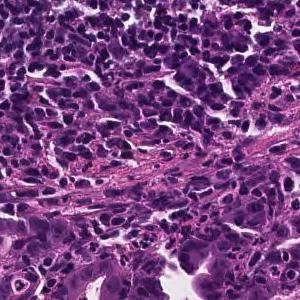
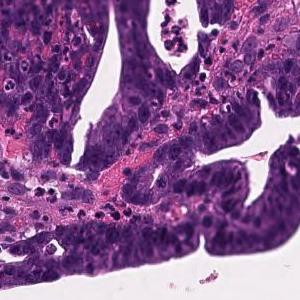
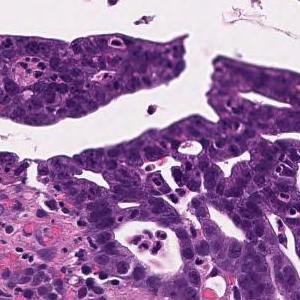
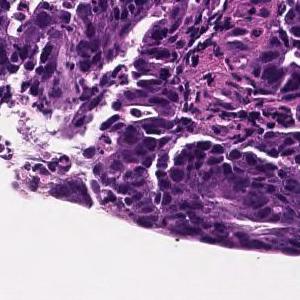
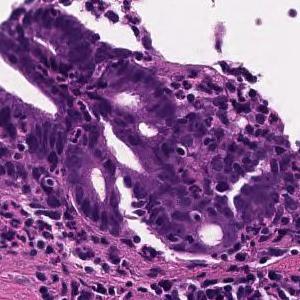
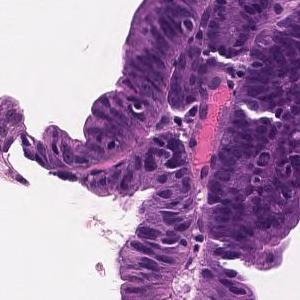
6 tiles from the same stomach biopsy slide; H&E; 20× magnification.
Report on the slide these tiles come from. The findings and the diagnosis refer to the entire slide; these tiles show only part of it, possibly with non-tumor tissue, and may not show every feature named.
Tumor cells are large, highly columnar, large club-shaped nuclei, and are associated with chromatin aggregation. Papillary adenocarcinoma.
